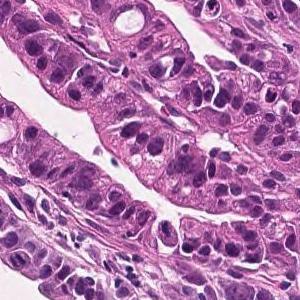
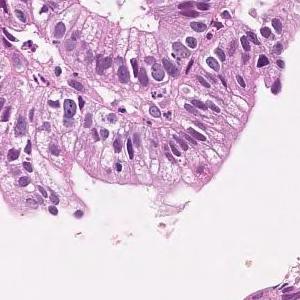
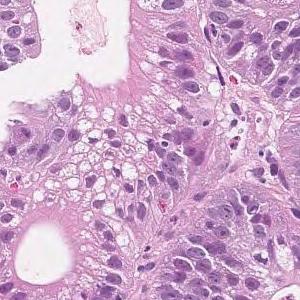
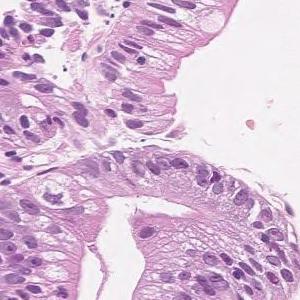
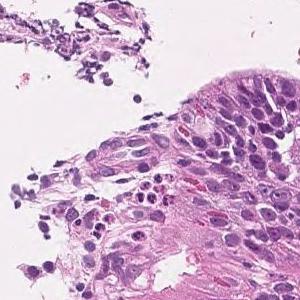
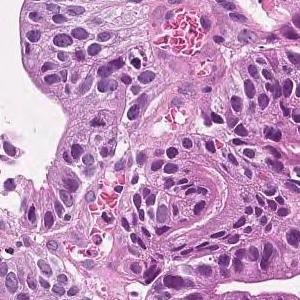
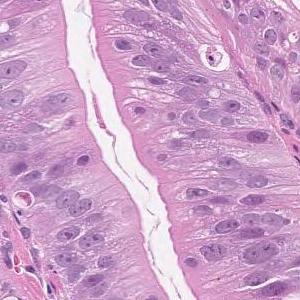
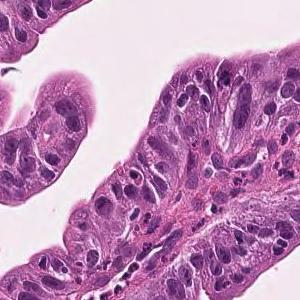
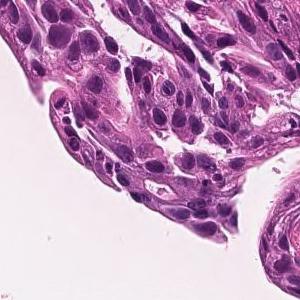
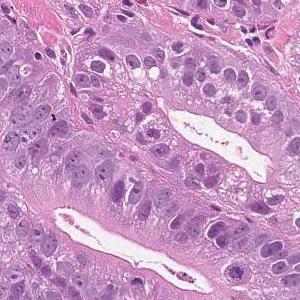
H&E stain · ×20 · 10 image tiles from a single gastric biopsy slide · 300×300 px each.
Diagnostic report for the slide these tiles come from. The report and the diagnosis cover the entire slide, so not every feature they name need be visible here, and some tissue shown may not be tumor.
Tumor cells are large, highly columnar, large club-shaped nuclei, and are associated with chromatin aggregation. Papillary adenocarcinoma.
